12 tiles from the same stomach biopsy slide · 300×300 px each · H&E stain.
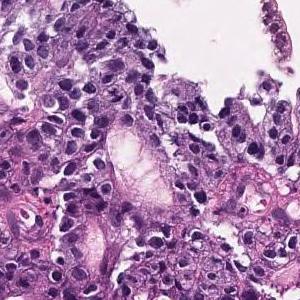
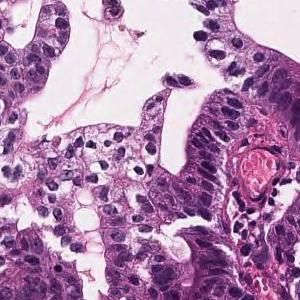
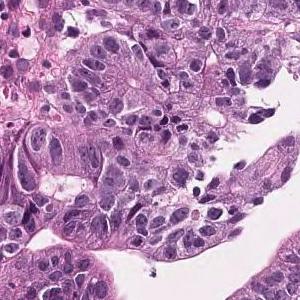
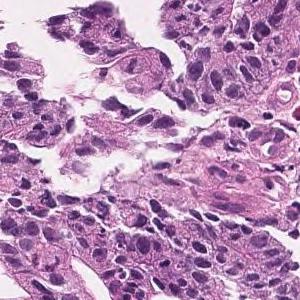
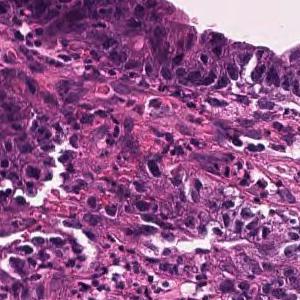
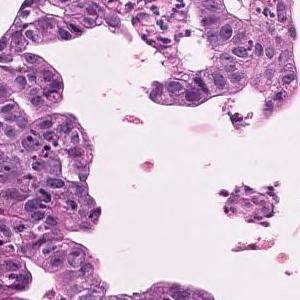
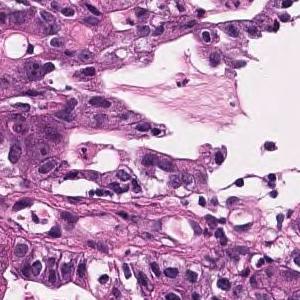
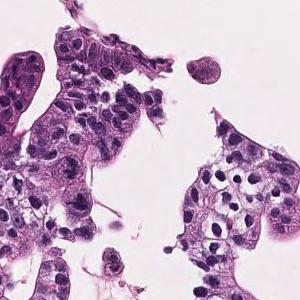
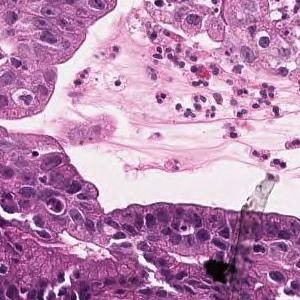
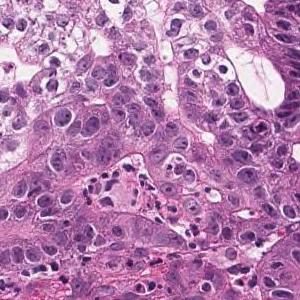
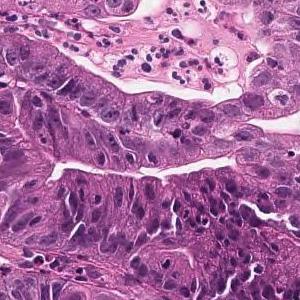
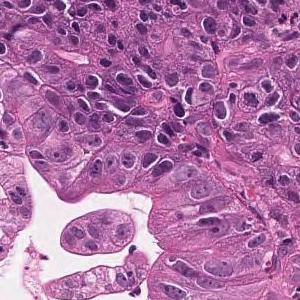
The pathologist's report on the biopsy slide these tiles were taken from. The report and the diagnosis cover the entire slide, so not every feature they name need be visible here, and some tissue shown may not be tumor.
In the superficial epithelium, tumor tissue that invades by forming medium-sized to small, irregular ducts is observed. Well differentiated tubular adenocarcinoma.
